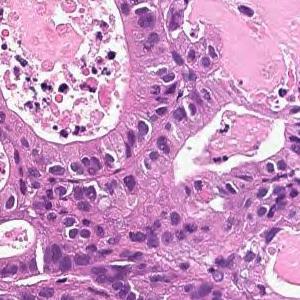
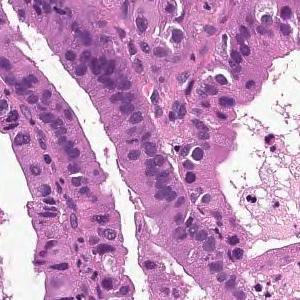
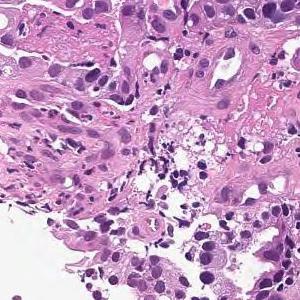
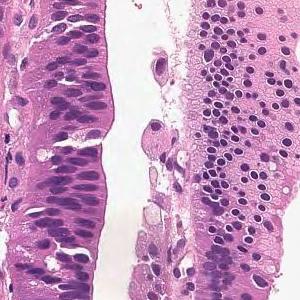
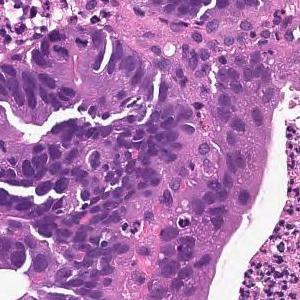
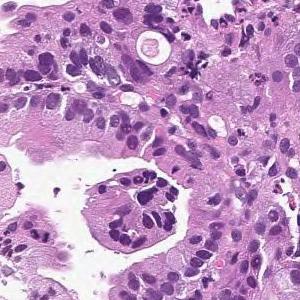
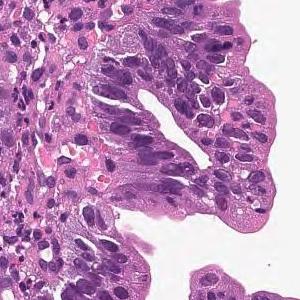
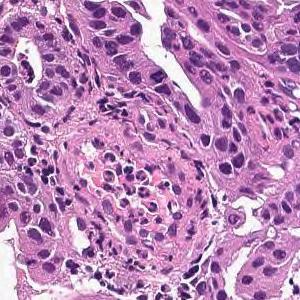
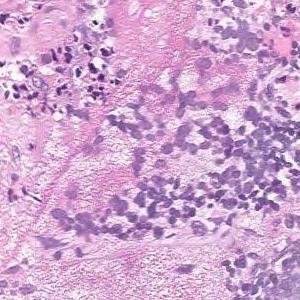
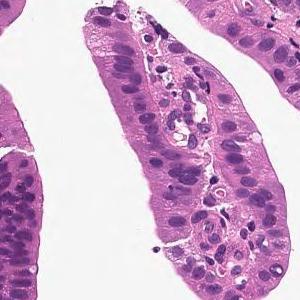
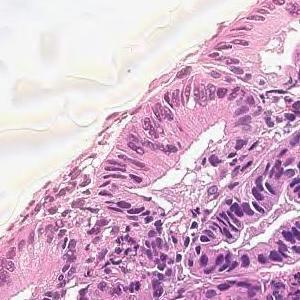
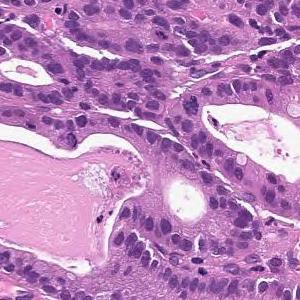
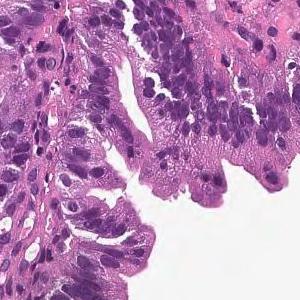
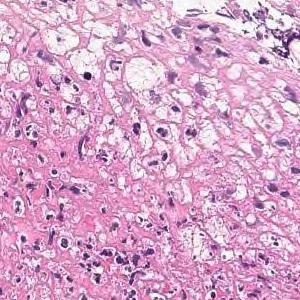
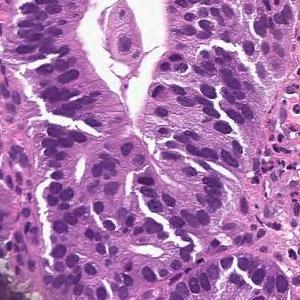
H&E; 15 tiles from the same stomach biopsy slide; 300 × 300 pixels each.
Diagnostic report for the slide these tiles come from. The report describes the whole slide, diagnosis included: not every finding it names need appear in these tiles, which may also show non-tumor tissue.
From the superficial epithelium to the muscularis mucosae, tumor tissue consisting of medium-sized and irregular glandular ducts infiltrating is observed. Well differentiated tubular adenocarcinoma
